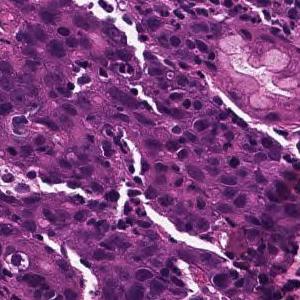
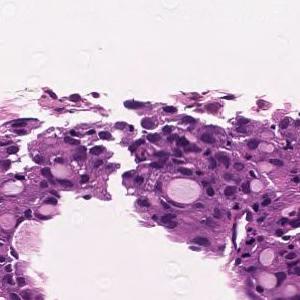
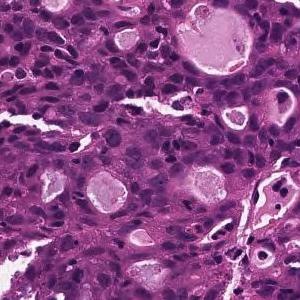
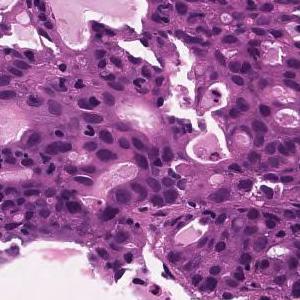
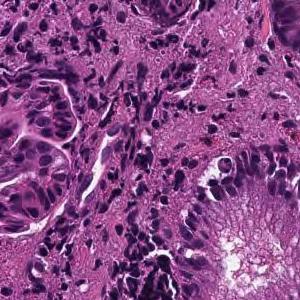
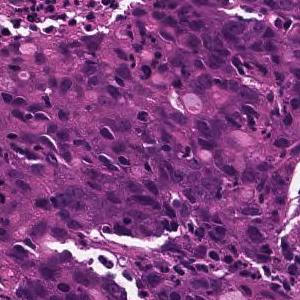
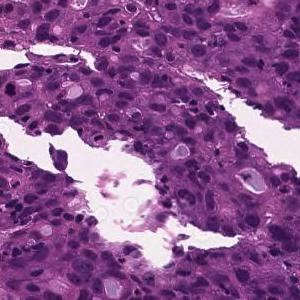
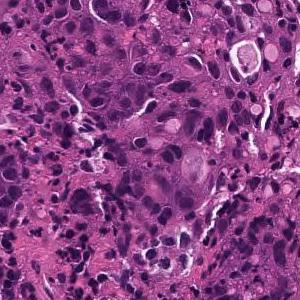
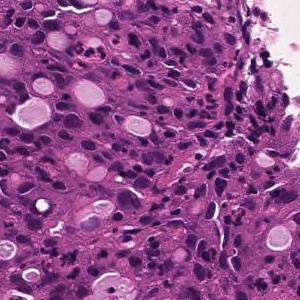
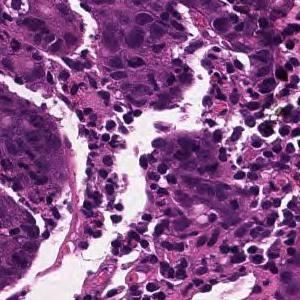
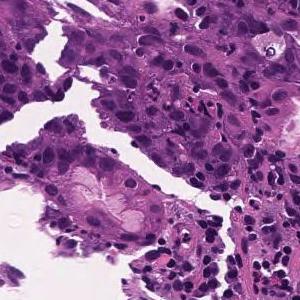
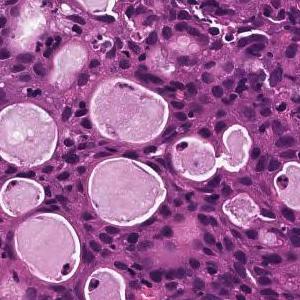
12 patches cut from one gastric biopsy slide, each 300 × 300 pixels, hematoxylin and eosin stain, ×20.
Report on the slide these tiles come from. What the report and the diagnosis say applies to the whole slide; these tiles may miss some of the features named and may include tissue that is not tumor.
Cells with atypical nuclei are densely hyperplasia while forming sieve-like ducts of various sizes. moderately differentiated tubular adenocarcinoma
